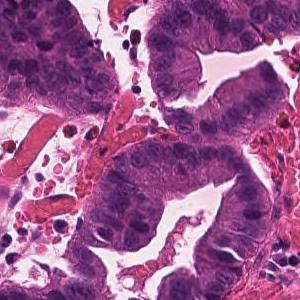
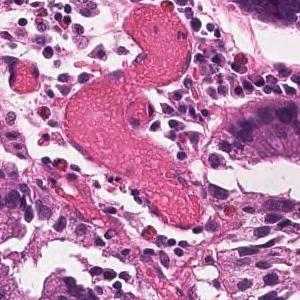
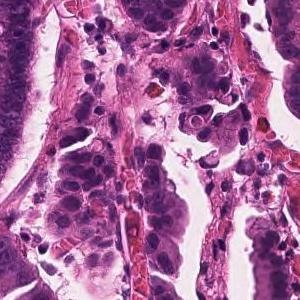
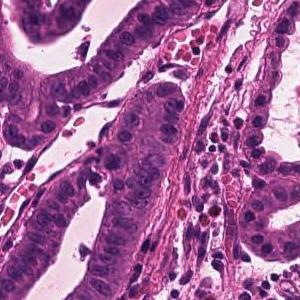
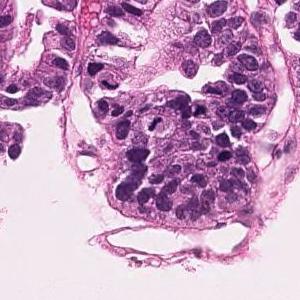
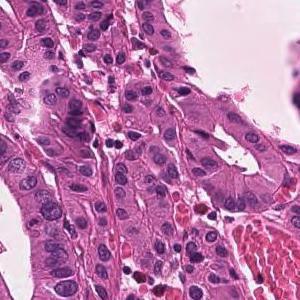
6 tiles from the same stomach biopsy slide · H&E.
Pathology report for the slide these tiles were cut from. Both the report and the diagnosis are for the whole slide: these tiles need not show every feature named, and some of the tissue shown may not be tumor.
Infiltrating tumor tissue with medium-sized, irregular ductal structure or large papillary appearance is observed. Well differentiated tubular adenocarcinoma
